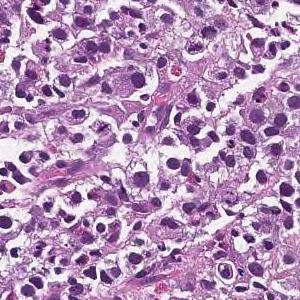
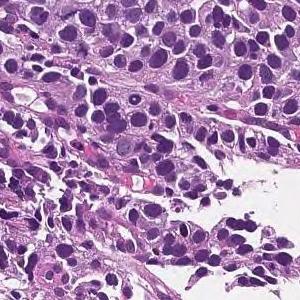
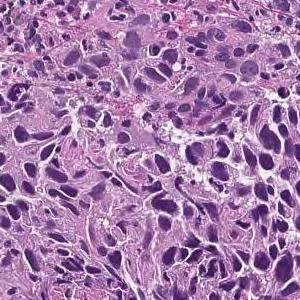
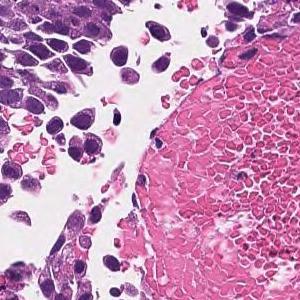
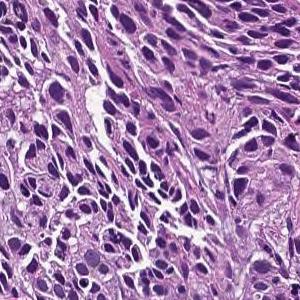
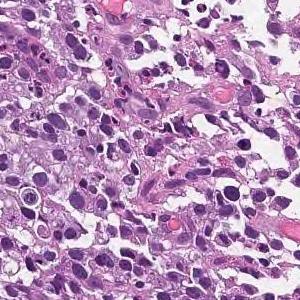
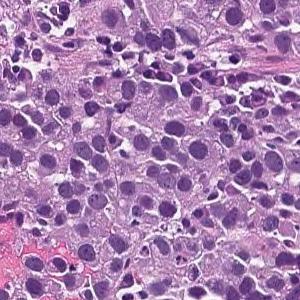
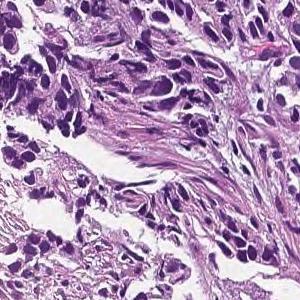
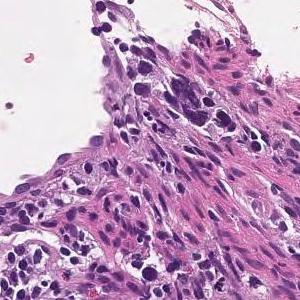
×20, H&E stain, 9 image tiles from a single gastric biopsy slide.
Pathology report for the biopsy slide these tiles were cut from. The report describes the whole slide, diagnosis included: not every finding it names need appear in these tiles, which may also show non-tumor tissue.
The superficial epithelium shows a large sheet-like shape, and some tumor tissue infiltrates with small irregular ducts. Poorly differentiated adenocarcinoma, solid-type
Tumor subtype: poorly differentiated adenocarcinoma, solid type, a category of the Japanese Classification of Gastric Carcinoma; in the WHO 2019 classification it is tubular adenocarcinoma, poorly differentiated.
